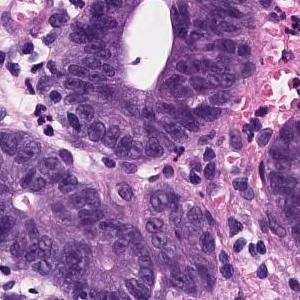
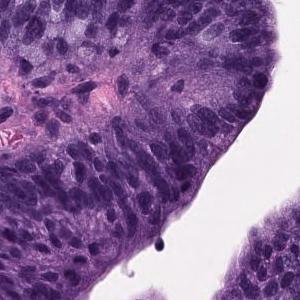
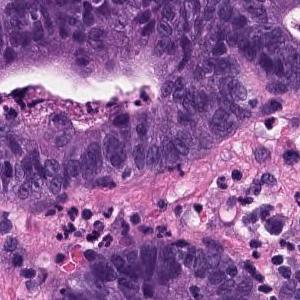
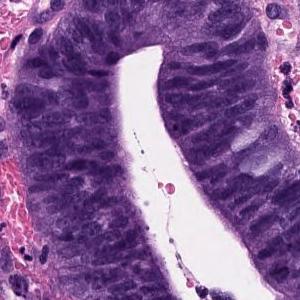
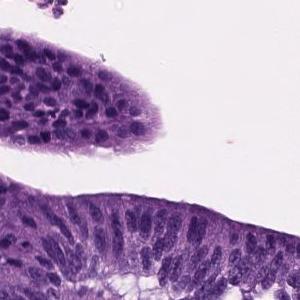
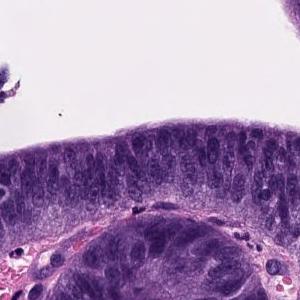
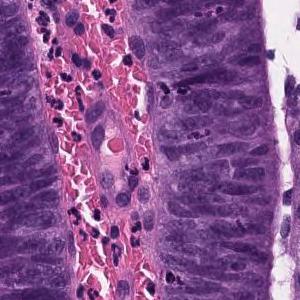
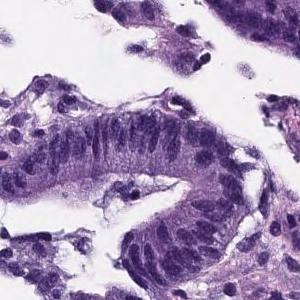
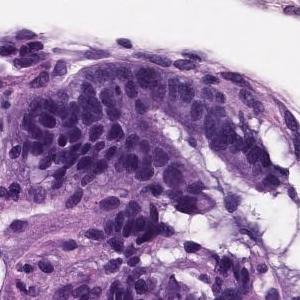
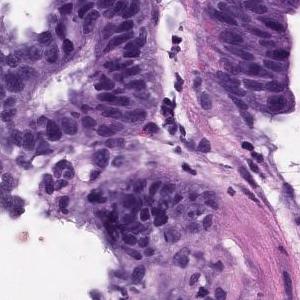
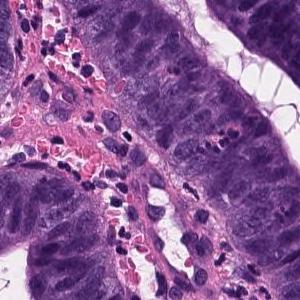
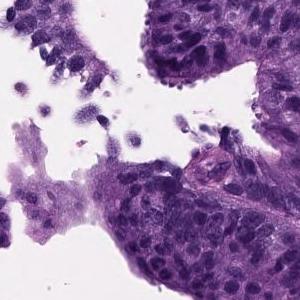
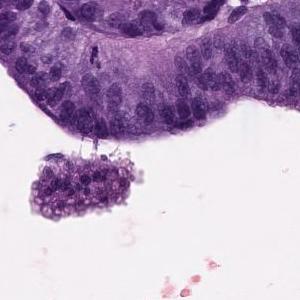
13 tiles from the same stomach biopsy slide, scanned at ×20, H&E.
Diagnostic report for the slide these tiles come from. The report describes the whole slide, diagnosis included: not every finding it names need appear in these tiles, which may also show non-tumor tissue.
Papillo-tubular growth of atypical tubules with nuclear swelling is observed. Well differentiated tubular adenocarcinoma
